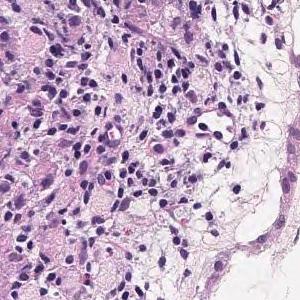
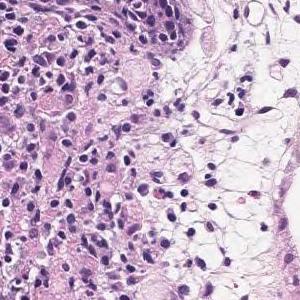
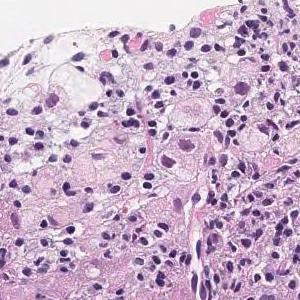
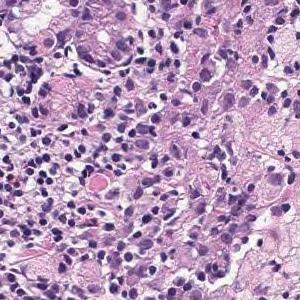
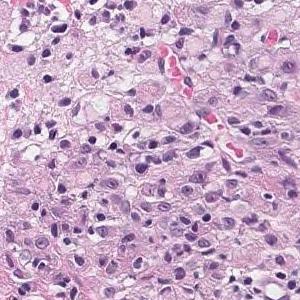
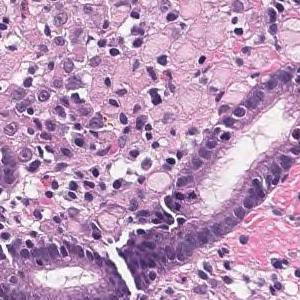
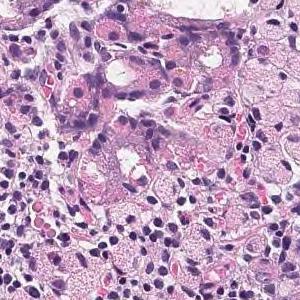
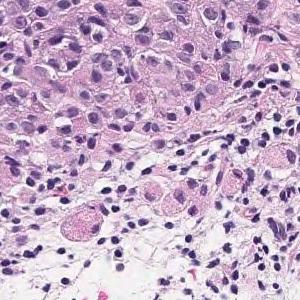
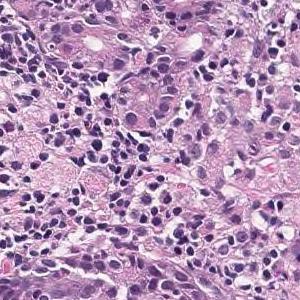
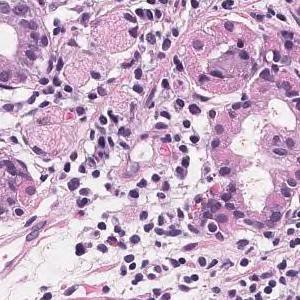
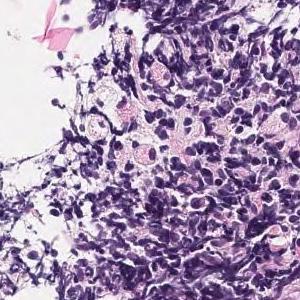
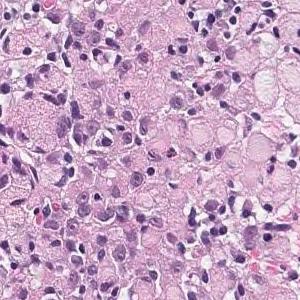
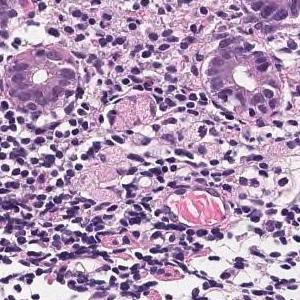
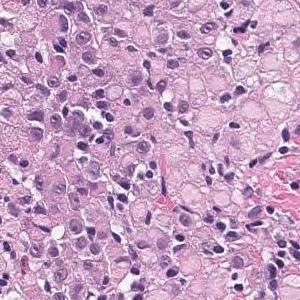
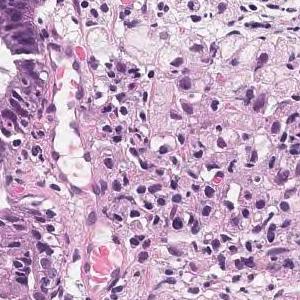
15 patches cut from one gastric biopsy slide, ×20, H&E.
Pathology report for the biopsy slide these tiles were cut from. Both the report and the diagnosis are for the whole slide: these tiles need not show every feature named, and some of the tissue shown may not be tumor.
Atypical epithelium with the mucus rich vesicles proliferates solidly. Signet ring cell carcinoma.
